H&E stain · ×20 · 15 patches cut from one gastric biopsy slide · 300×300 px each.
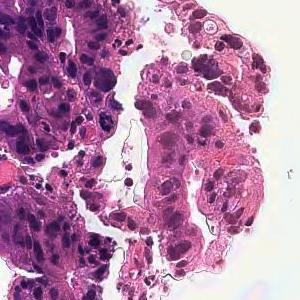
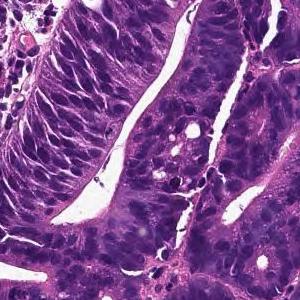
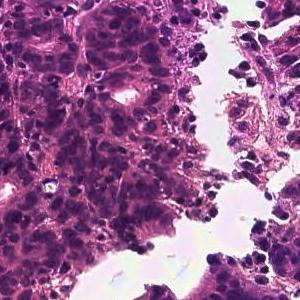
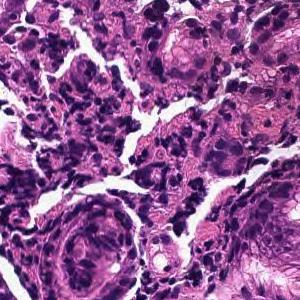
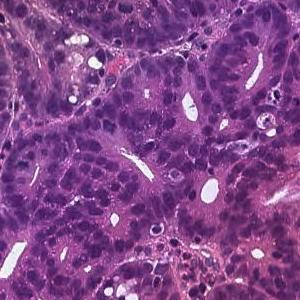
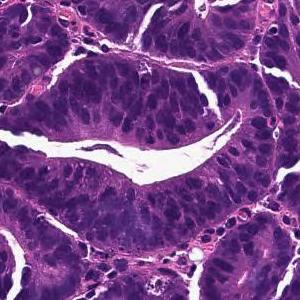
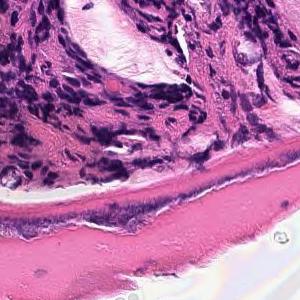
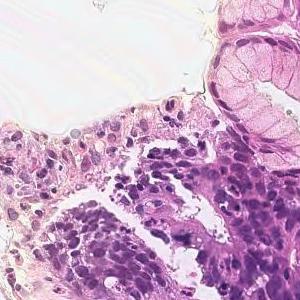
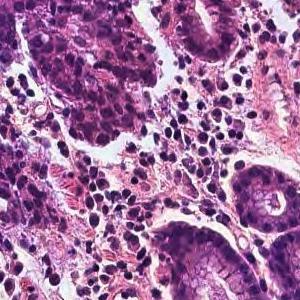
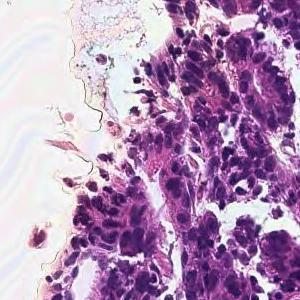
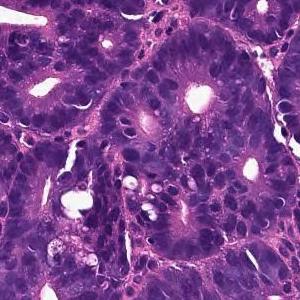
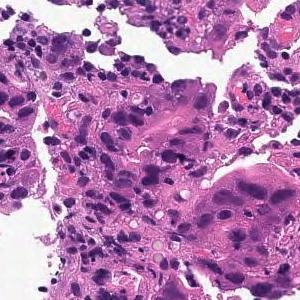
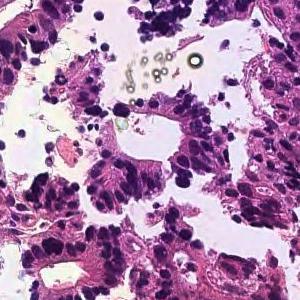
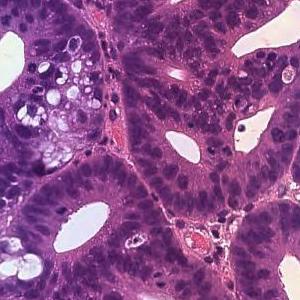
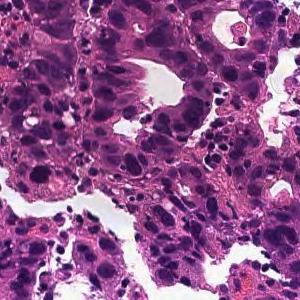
Pathology report for the biopsy slide these tiles were cut from. What the report and the diagnosis say applies to the whole slide; these tiles may miss some of the features named and may include tissue that is not tumor.
On the superficial epithelium, tumor tissue consisting of large irregular glandular ducts partially fused and infiltrated is observed. Well to moderately differentiated tubular adenocarcinoma (well differentiated tubular adenocarcinoma, moderately differentiated tubular adenocarcinoma)
Subtype: Well to moderately differentiated tubular adenocarcinoma.
